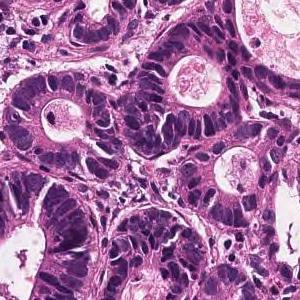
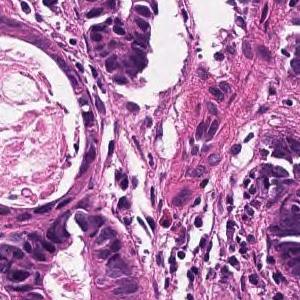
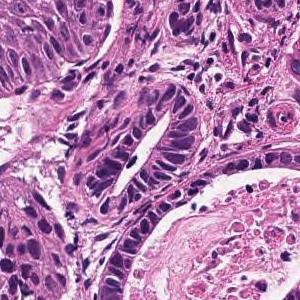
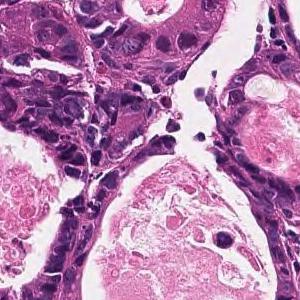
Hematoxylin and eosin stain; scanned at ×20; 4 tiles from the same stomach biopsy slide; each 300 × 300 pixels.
The pathologist's report on the biopsy slide these tiles were taken from. The report and the diagnosis describe the slide as a whole, so these tiles may not show every feature named and may include non-tumor tissue.
In the superficial epithelium, tumor tissue that invades by forming medium-sized to small, irregular ducts is observed. Well differentiated tubular adenocarcinoma.
